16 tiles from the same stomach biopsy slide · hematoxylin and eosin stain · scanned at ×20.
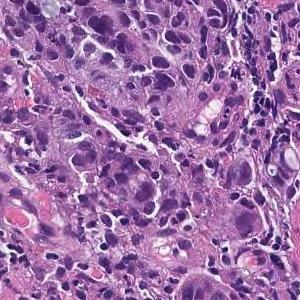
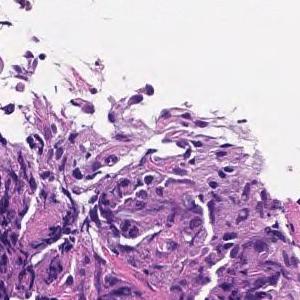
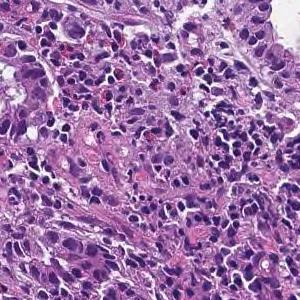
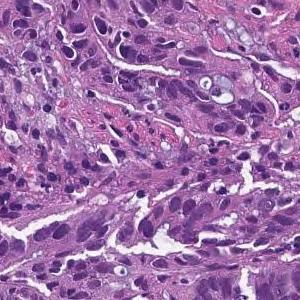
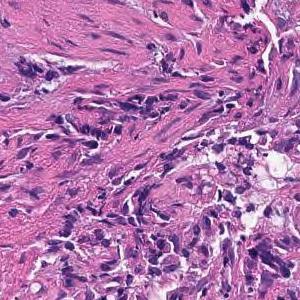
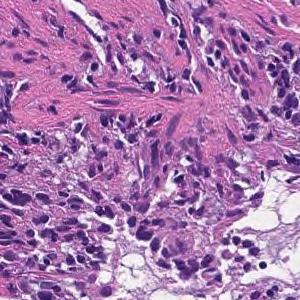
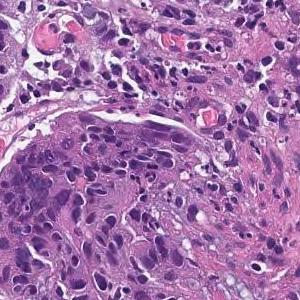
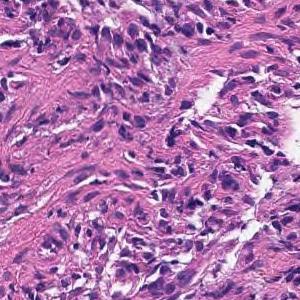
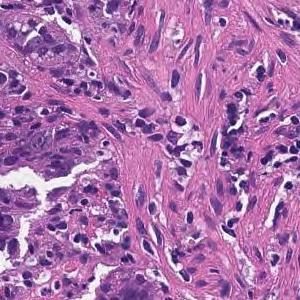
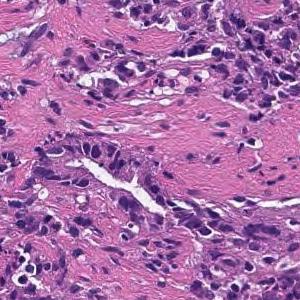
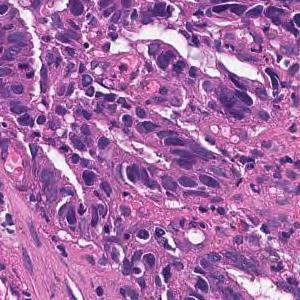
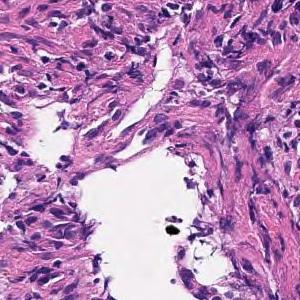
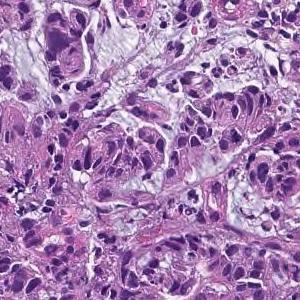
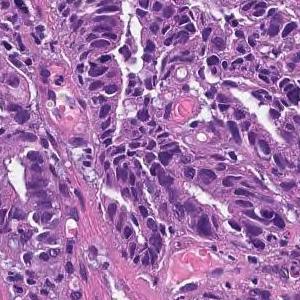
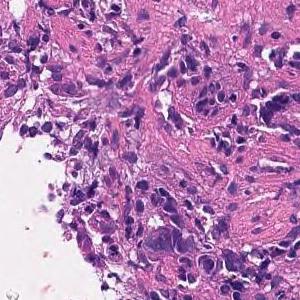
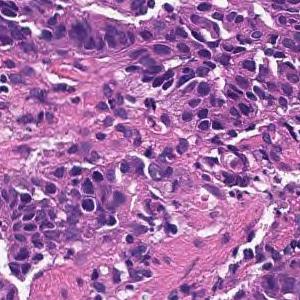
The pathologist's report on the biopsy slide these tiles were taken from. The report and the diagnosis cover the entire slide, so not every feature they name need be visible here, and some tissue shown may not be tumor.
On the superficial epithelium, tumor tissue consisting of large, irregular glandular ducts partially fused and infiltrated is observed. Well to moderately differentiated tubular adenocarcinoma (well differentiated tubular adenocarcinoma, moderately differentiated tubular adenocarcinoma)
Classified as well to moderately differentiated tubular adenocarcinoma.
